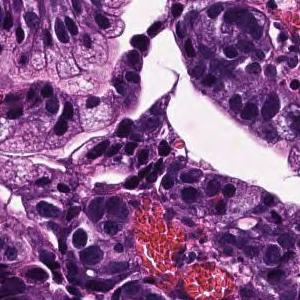
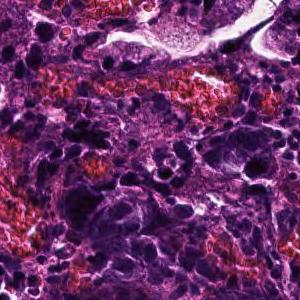
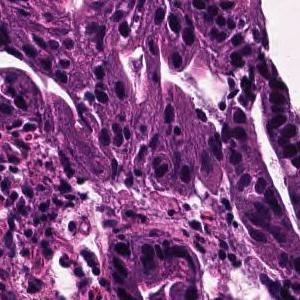
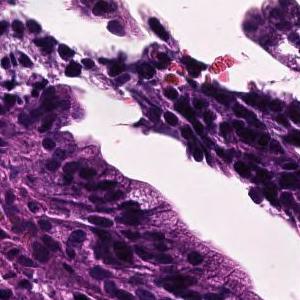
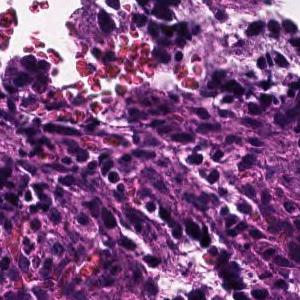
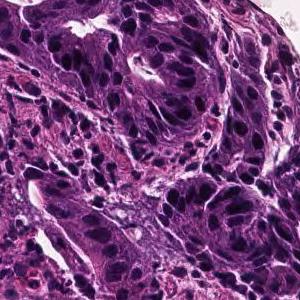
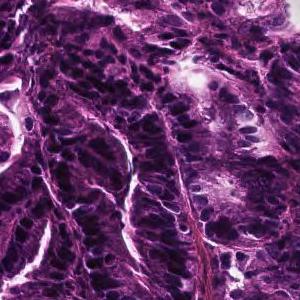
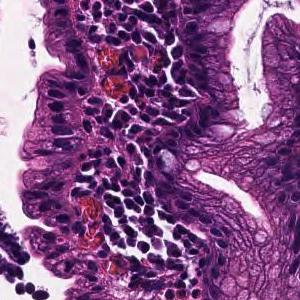
H&E stain · ×20 · 8 image tiles from a single gastric biopsy slide.
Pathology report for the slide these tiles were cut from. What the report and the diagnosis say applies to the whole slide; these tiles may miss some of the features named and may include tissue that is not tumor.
In the superficial epithelium, tumor tissue that invades by forming medium-sized to small, irregular ducts is observed. moderately differentiated tubular adenocarcinoma.
